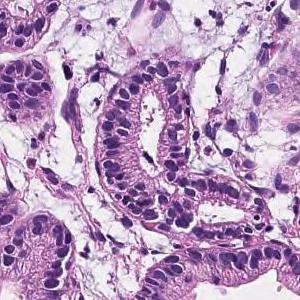
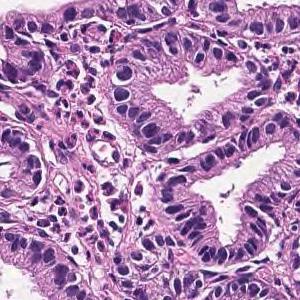
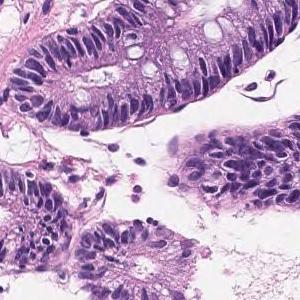
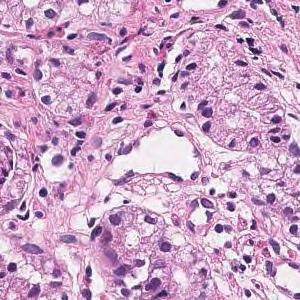
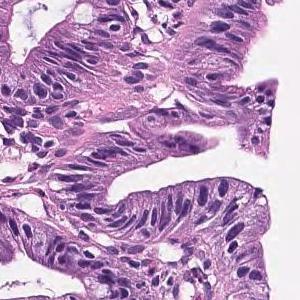
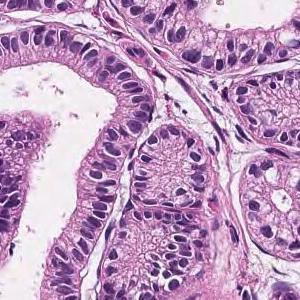
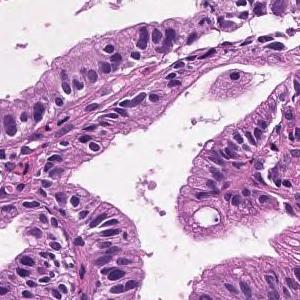
7 image tiles from a single gastric biopsy slide · H&E stain · ×20.
The pathologist's report on the biopsy slide these tiles were taken from. What the report and the diagnosis say applies to the whole slide; these tiles may miss some of the features named and may include tissue that is not tumor.
In the superficial epithelium, tumor tissue that invades by forming medium-sized to small, irregular ducts is observed. Well differentiated tubular adenocarcinoma.
